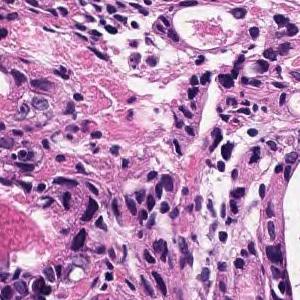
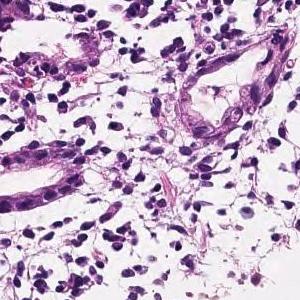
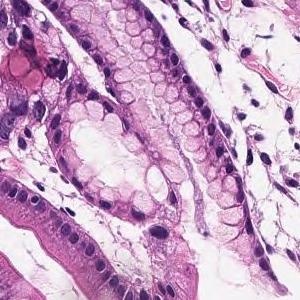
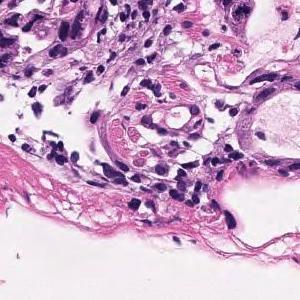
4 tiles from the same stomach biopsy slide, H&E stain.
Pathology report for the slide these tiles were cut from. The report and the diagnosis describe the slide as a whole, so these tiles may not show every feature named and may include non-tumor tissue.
In the superficial epithelium, tumor tissue that invades by forming medium-sized to small, irregular ducts is observed. Moderately differentiated adenocarcinoma.
Subtype: Moderately differentiated tubular adenocarcinoma.
